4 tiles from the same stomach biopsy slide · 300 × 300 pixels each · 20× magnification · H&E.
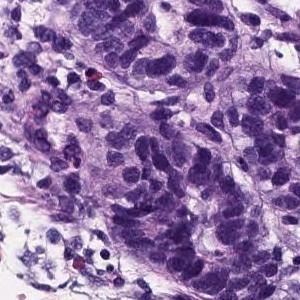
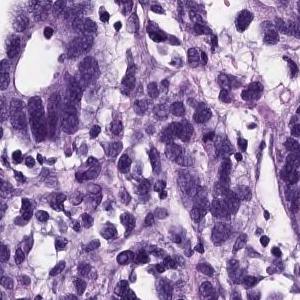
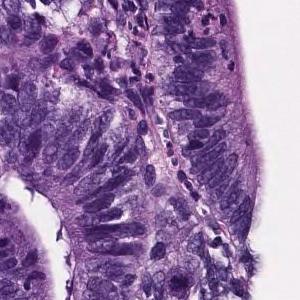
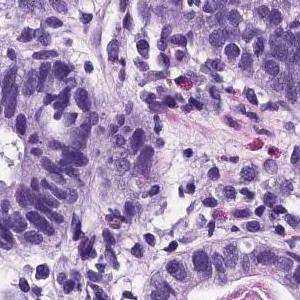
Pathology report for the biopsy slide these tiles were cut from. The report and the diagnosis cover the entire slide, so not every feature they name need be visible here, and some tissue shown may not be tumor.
On the superficial epithelium, tumor tissue consisting of large, irregular glandular ducts partially fused and infiltrated is observed. Well to moderately differentiated tubular adenocarcinoma (well differentiated tubular adenocarcinoma, moderately differentiated tubular adenocarcinoma)
Labeled in the dataset as well differentiated tubular adenocarcinoma.
